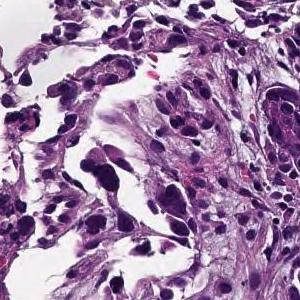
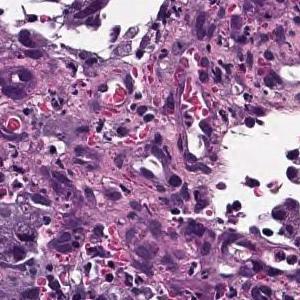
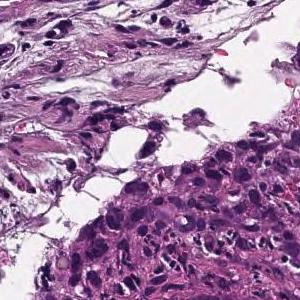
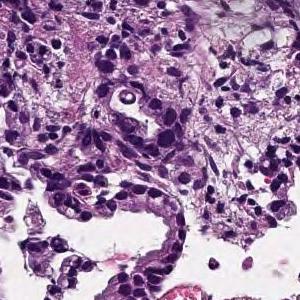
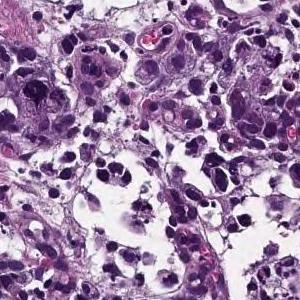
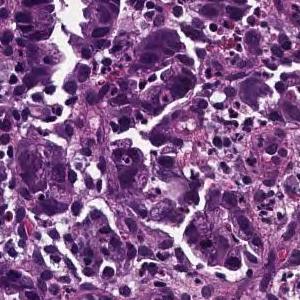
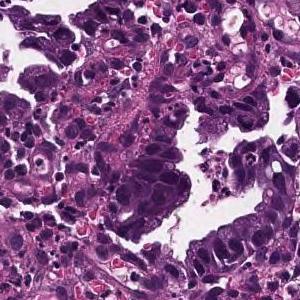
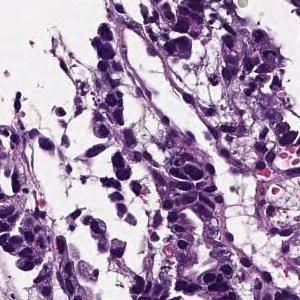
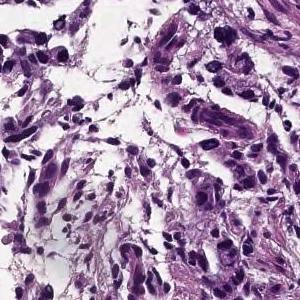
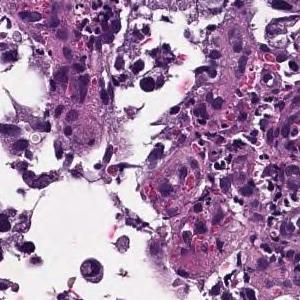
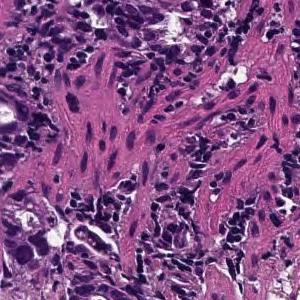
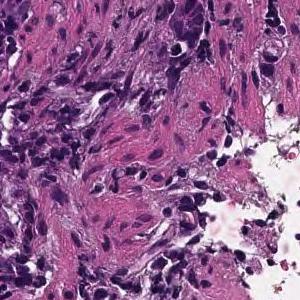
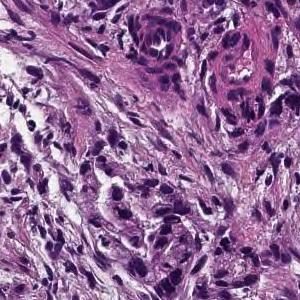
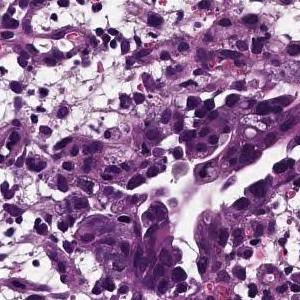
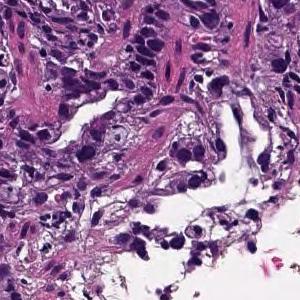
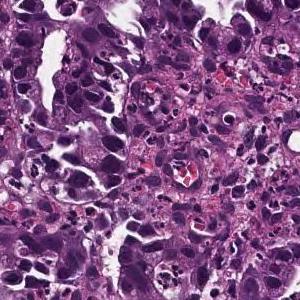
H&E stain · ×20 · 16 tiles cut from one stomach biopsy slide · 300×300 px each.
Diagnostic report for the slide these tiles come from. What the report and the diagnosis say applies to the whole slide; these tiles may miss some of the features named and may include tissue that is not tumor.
Medium to small, irregular glandular ducts are formed in the superficial epithelium, and in some cases, the glandular ducts are fused to show solid alveolar lesions and infiltrating tumor tissue is observed. Moderately to poorly differentiated adenocarcinoma.
